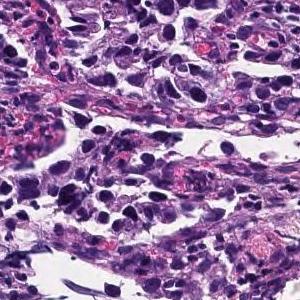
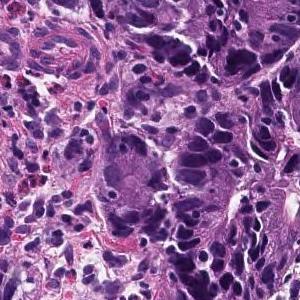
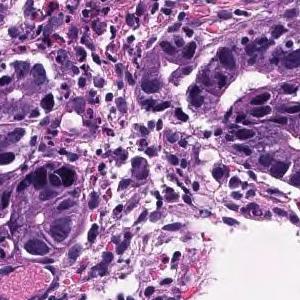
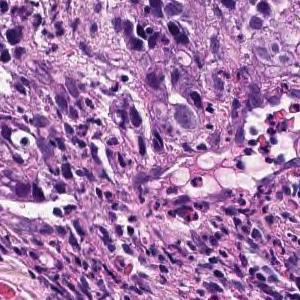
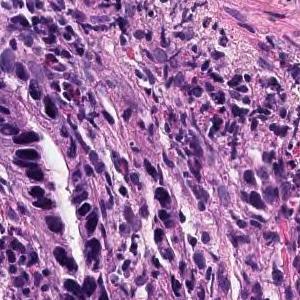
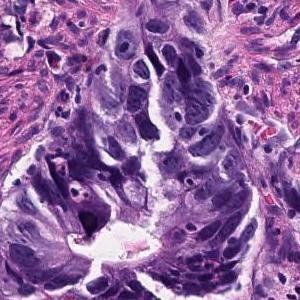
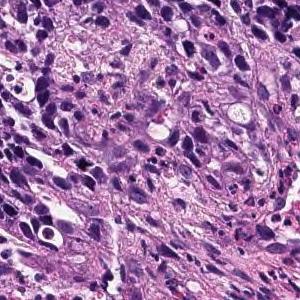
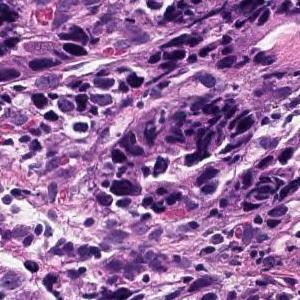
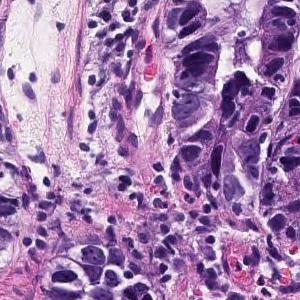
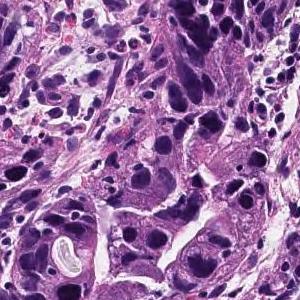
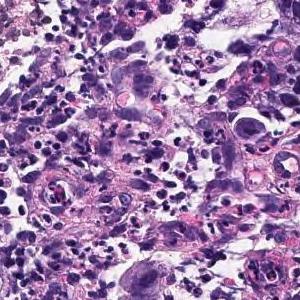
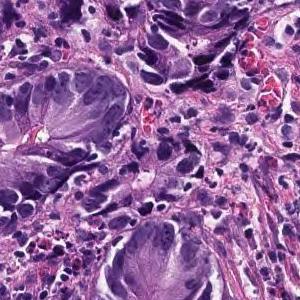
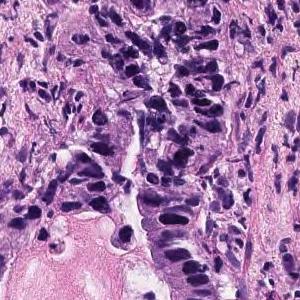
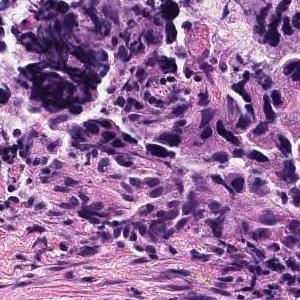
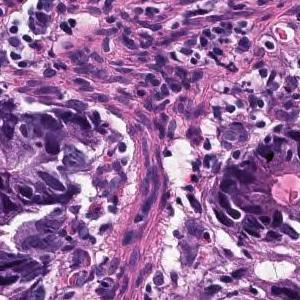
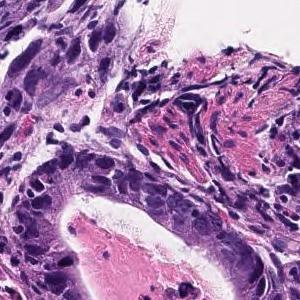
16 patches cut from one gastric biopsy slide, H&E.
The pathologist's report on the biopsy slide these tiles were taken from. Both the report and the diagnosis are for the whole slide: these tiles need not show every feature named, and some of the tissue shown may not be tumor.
In the superficial epithelium, tumor tissue that invades by forming medium-sized to small, irregular ducts is observed. Tumor cells are columnar or cuboidal in shape. Moderately differentiated adenocarcinoma.
Histological subtype: Moderately differentiated tubular adenocarcinoma.
